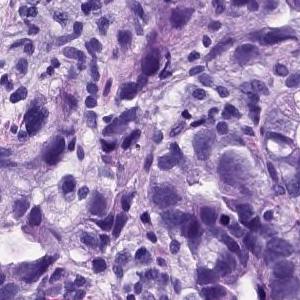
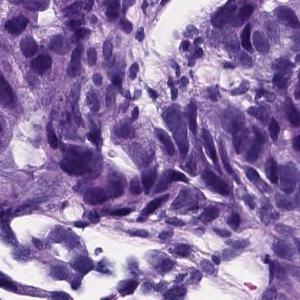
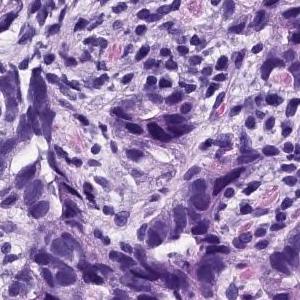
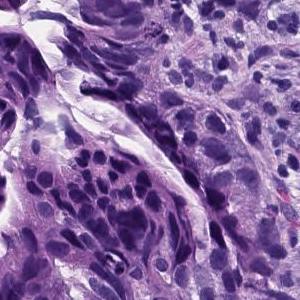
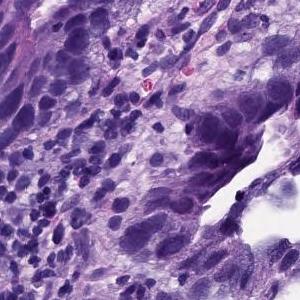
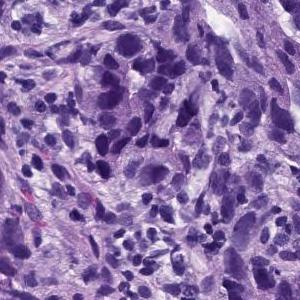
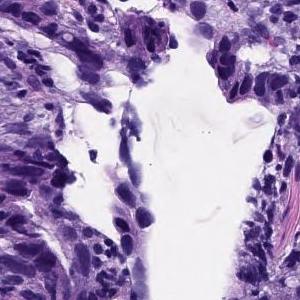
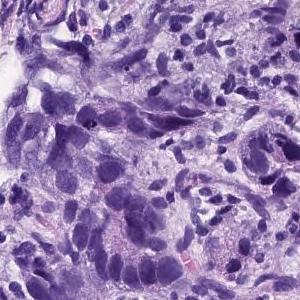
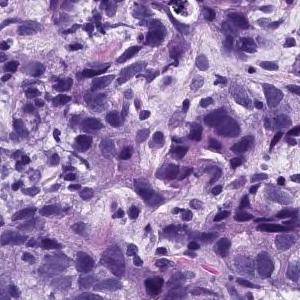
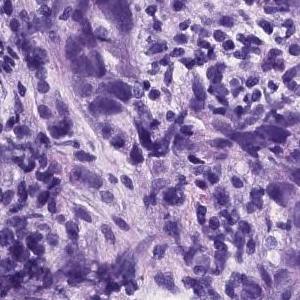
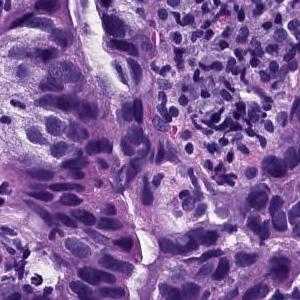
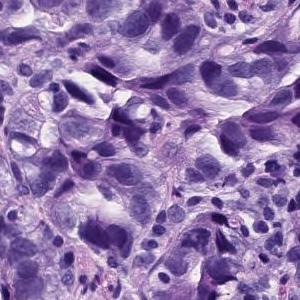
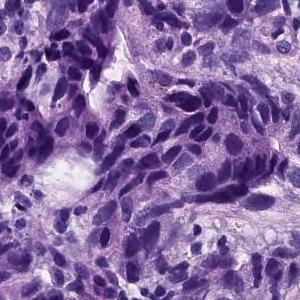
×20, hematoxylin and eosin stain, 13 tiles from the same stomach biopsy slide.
Pathology report for the slide these tiles were cut from. The report and the diagnosis cover the entire slide, so not every feature they name need be visible here, and some tissue shown may not be tumor.
In the superficial epithelium, tumor tissue that invades by forming medium-sized to small, irregular ducts is observed. Moderately differentiated adenocarcinoma.
Subtype: Moderately differentiated tubular adenocarcinoma.
